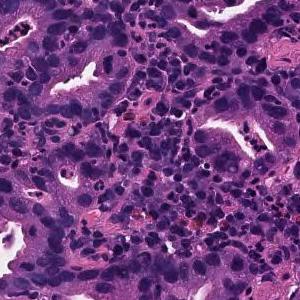
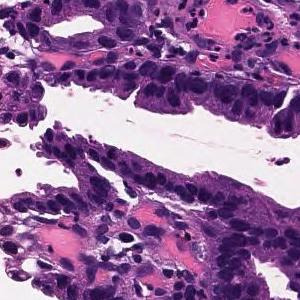
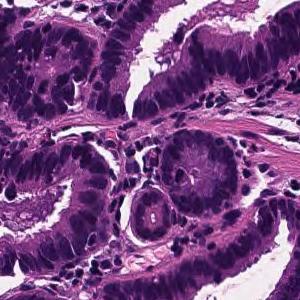
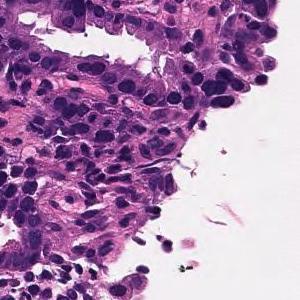
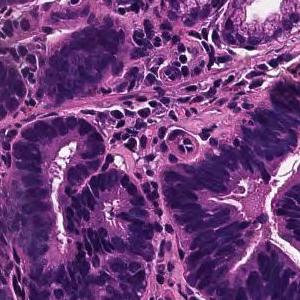
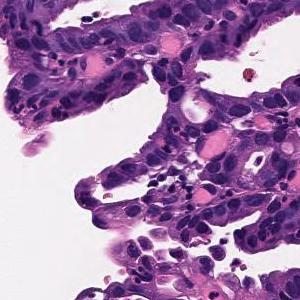
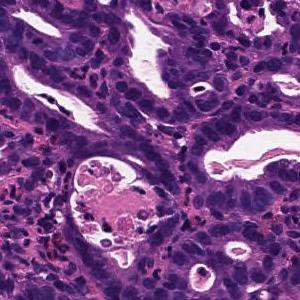
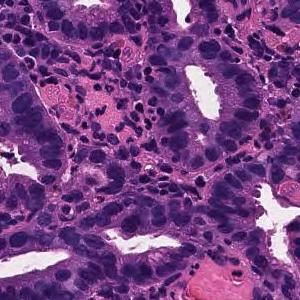
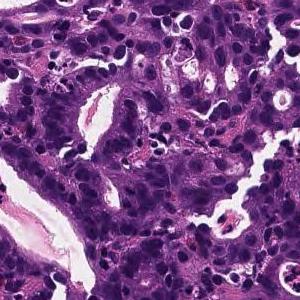
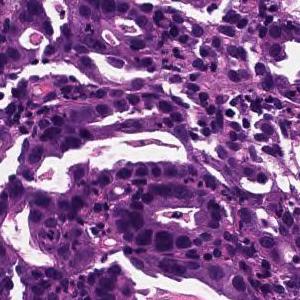
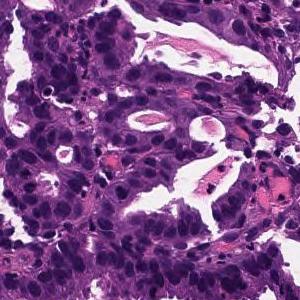
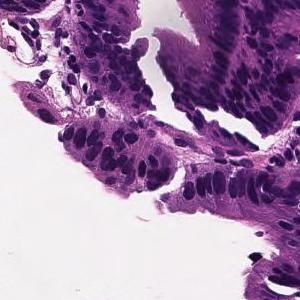
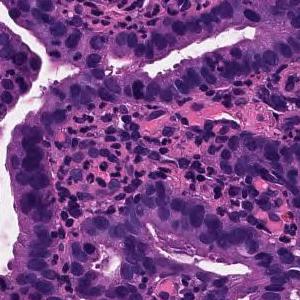
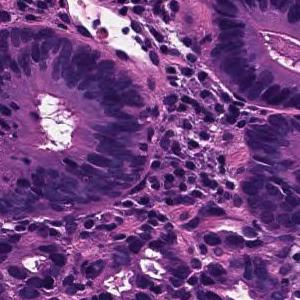
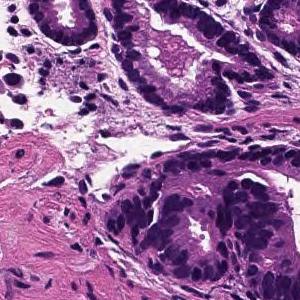
15 patches cut from one gastric biopsy slide · each 300 × 300 pixels · H&E stain.
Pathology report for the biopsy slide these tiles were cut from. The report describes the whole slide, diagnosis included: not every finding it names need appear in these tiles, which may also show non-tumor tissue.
On the superficial epithelium, tumor tissue is found in which medium-sized irregular gland ducts fuse with each other and infiltrate. moderately differentiated tubular adenocarcinoma
